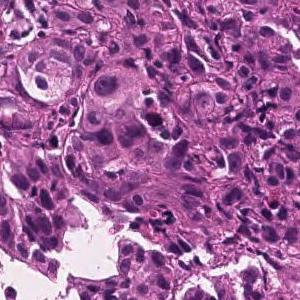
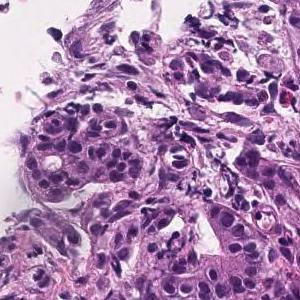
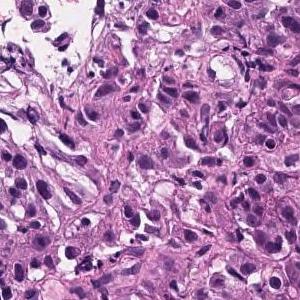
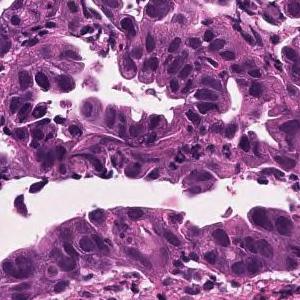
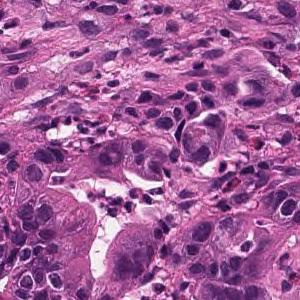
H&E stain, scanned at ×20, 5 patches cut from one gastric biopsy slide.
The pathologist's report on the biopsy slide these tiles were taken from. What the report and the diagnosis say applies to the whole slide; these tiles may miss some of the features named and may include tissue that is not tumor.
Tumor tissue consisting of medium-sized, cord-like or irregular glandular infiltration is observed in the superficial epithelium. Poorly differentiated adenocarcinoma, non-solid type or moderately differentiated tubular adenocarcinoma
The term "non-solid type" comes from the Japanese Classification of Gastric Carcinoma.
